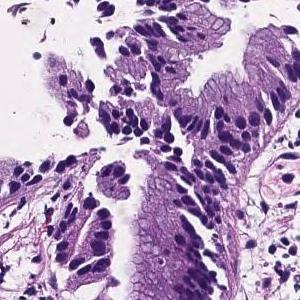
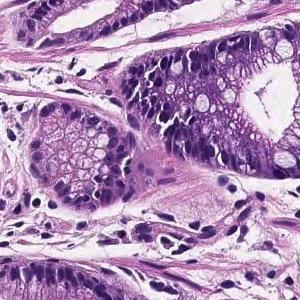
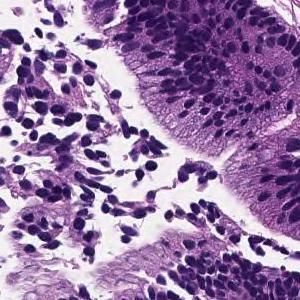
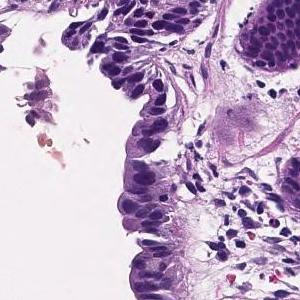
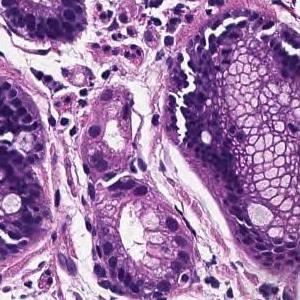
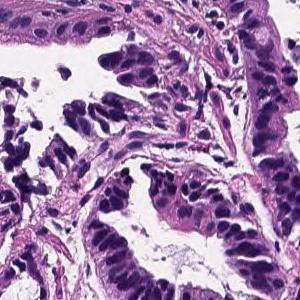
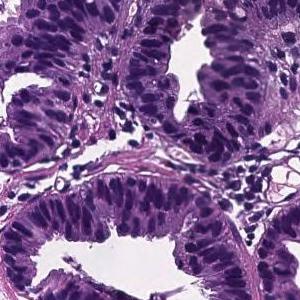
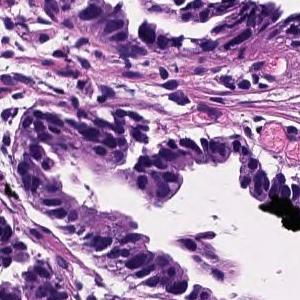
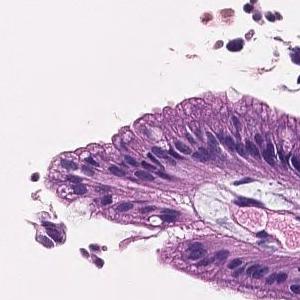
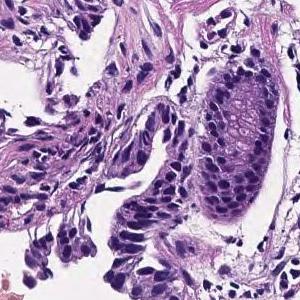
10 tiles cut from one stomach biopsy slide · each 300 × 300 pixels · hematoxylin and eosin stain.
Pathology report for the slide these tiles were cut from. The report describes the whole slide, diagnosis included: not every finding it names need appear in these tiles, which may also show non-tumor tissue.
Tumor cells are large, highly columnar, large club-shaped nuclei, and are associated with chromatin aggregation. Papillary adenocarcinoma.
